15 tiles cut from one stomach biopsy slide.
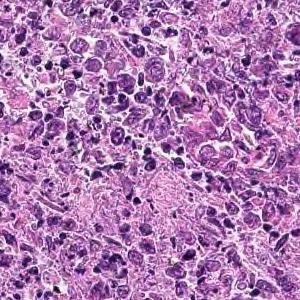
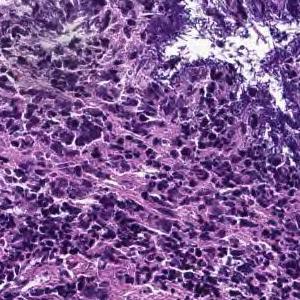
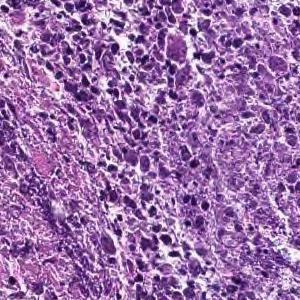
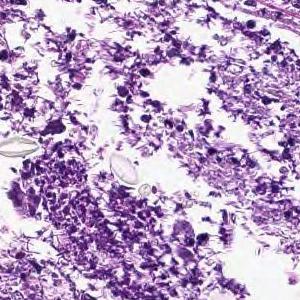
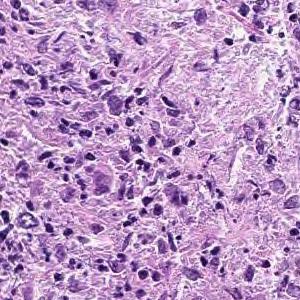
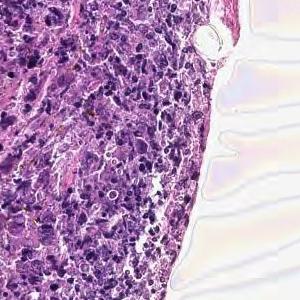
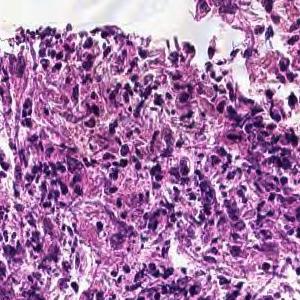
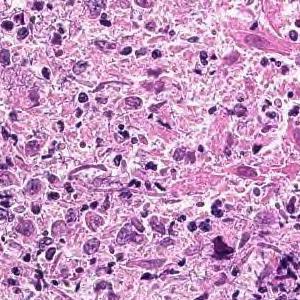
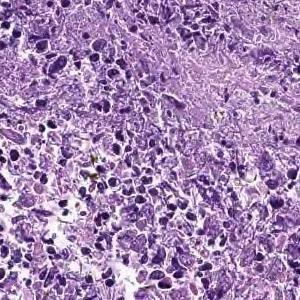
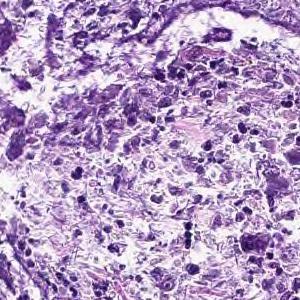
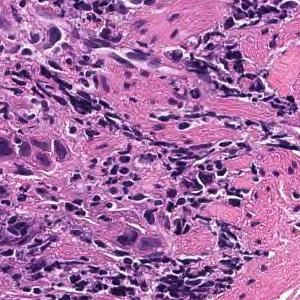
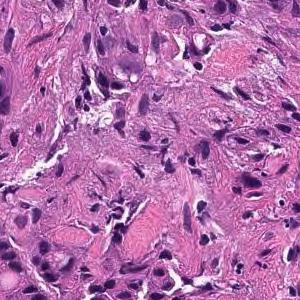
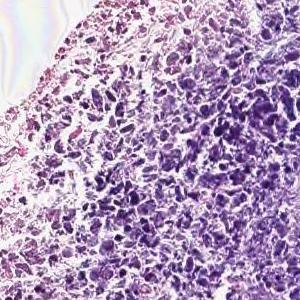
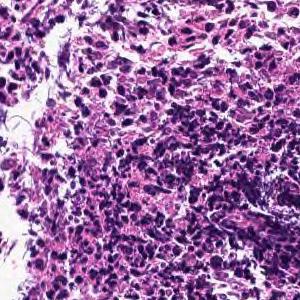
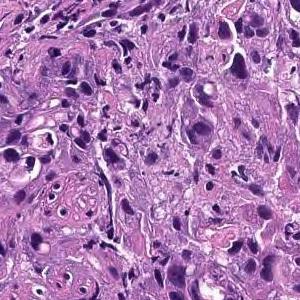
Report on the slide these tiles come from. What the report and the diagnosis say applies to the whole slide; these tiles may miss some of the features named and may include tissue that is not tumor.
Cancers with polygonal nuclei do not show glandular formation and are densely, in part, cord-like and proliferate. Poorly differentiated adenocarcinoma
Histologic type: Poorly differentiated adenocarcinoma, non-solid type.
The term "non-solid type" comes from the Japanese Classification of Gastric Carcinoma.
